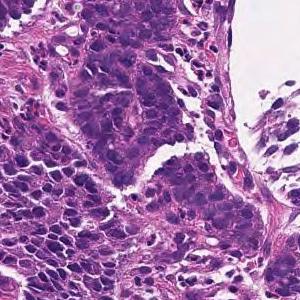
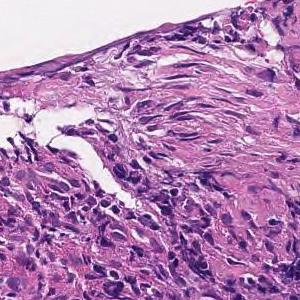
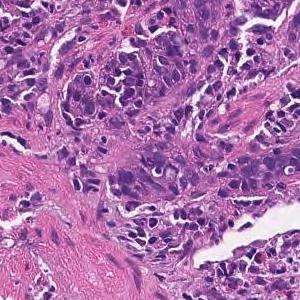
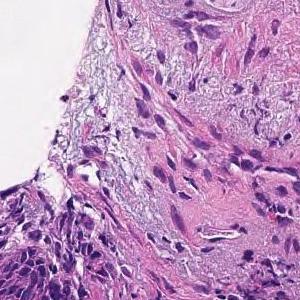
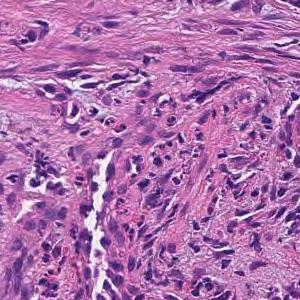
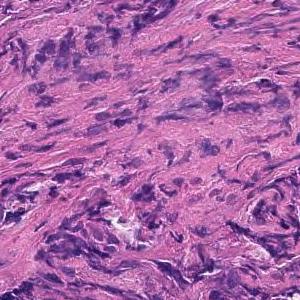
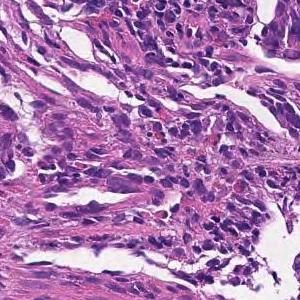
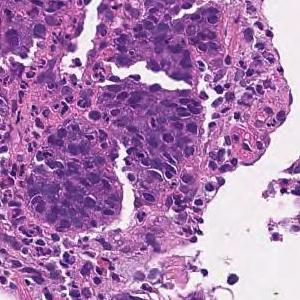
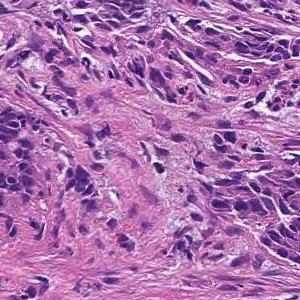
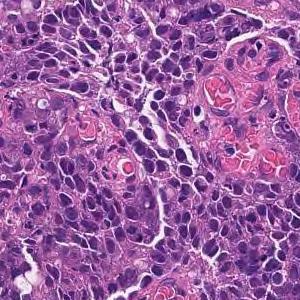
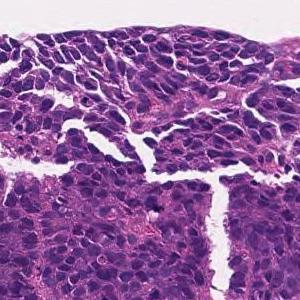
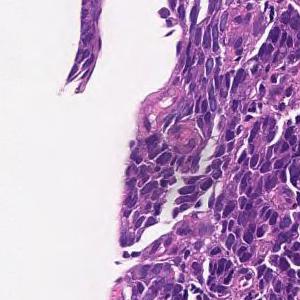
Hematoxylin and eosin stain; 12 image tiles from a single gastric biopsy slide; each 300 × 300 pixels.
Report on the slide these tiles come from. The findings and the diagnosis refer to the entire slide; these tiles show only part of it, possibly with non-tumor tissue, and may not show every feature named.
Tumor tissue consisting of cord-like or small, irregular glandular ducts fused and infiltrated is observed in the superficial epithelium. Poorly differentiated adenocarcinoma, non-solid type
"Non-solid type" is a category of the Japanese Classification of Gastric Carcinoma.
